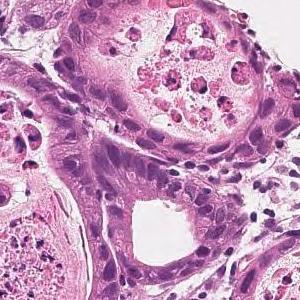
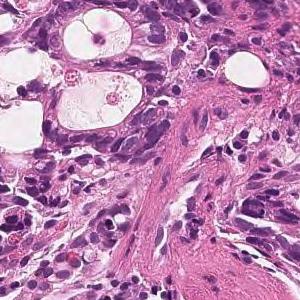
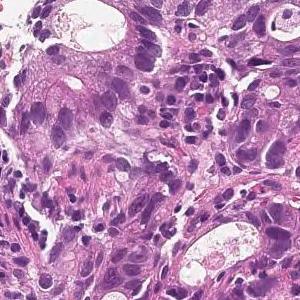
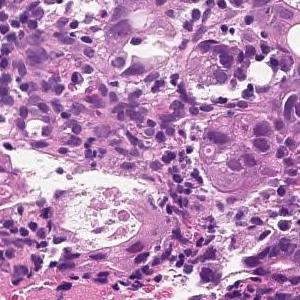
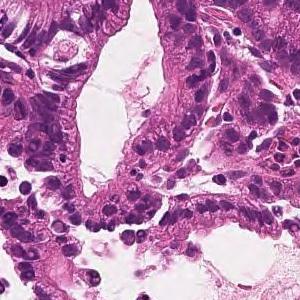
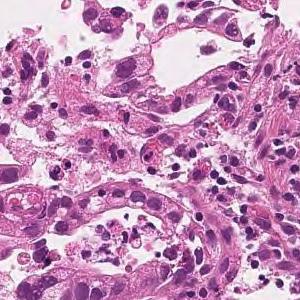
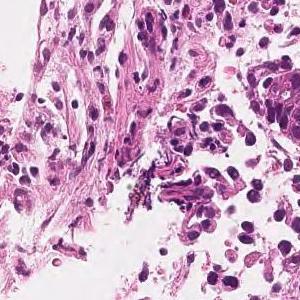
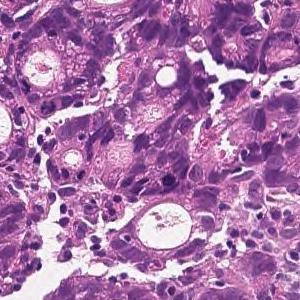
Hematoxylin and eosin stain · 8 patches cut from one gastric biopsy slide · 300×300 px each.
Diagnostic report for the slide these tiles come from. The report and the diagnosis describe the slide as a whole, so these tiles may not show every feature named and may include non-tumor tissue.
On the superficial epithelium, tumor tissue is found in which medium-sized irregular gland ducts fuse with each other and infiltrate. moderately differentiated tubular adenocarcinoma
